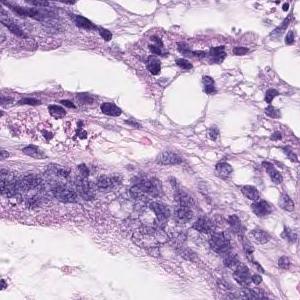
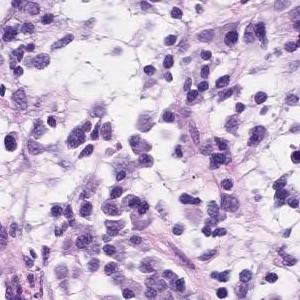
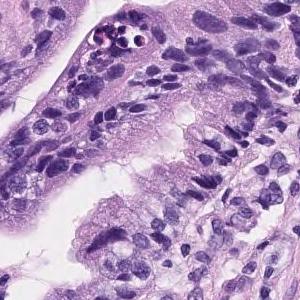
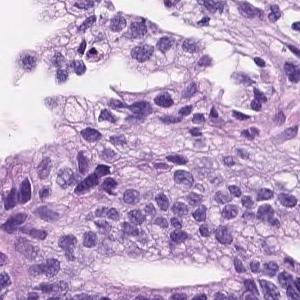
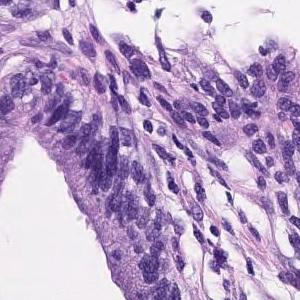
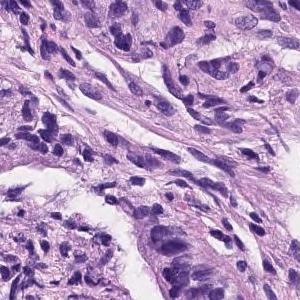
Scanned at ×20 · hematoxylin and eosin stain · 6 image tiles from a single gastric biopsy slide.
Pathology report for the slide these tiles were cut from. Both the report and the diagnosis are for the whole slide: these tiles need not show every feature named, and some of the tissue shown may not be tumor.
Tumor cells are large, highly columnar, large club-shaped nuclei, and are associated with chromatin aggregation. Papillary adenocarcinoma.
